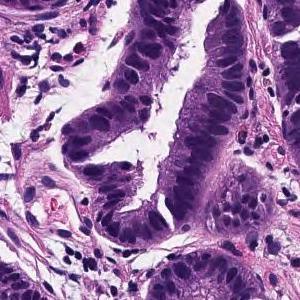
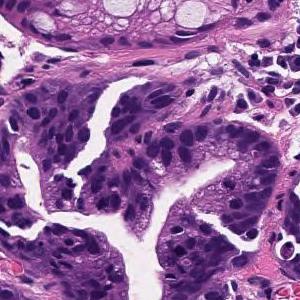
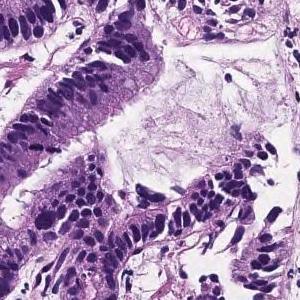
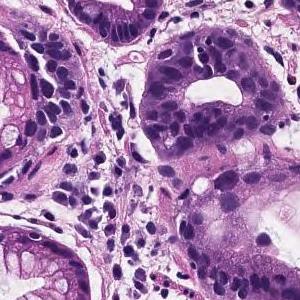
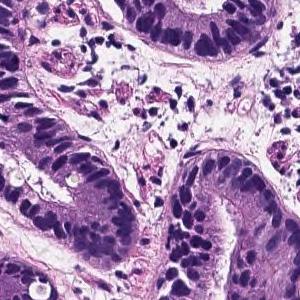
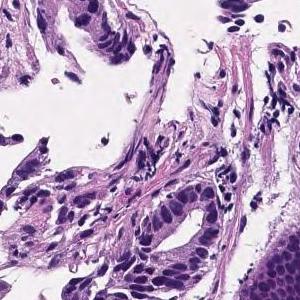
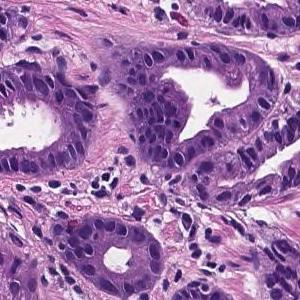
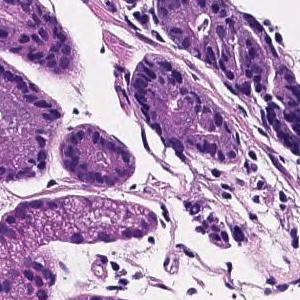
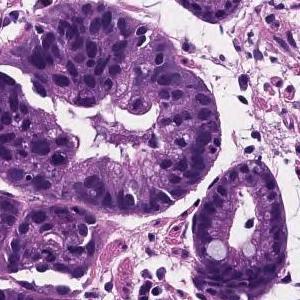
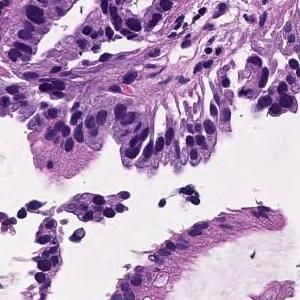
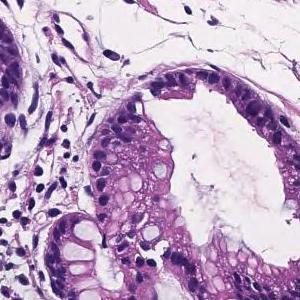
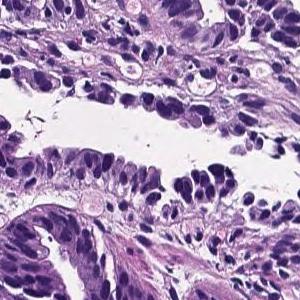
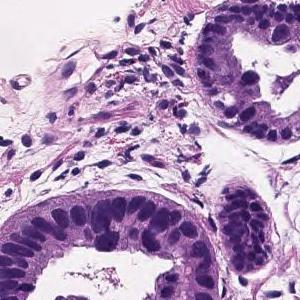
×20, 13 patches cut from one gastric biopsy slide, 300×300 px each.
Diagnostic report for the slide these tiles come from. The findings and the diagnosis refer to the entire slide; these tiles show only part of it, possibly with non-tumor tissue, and may not show every feature named.
Tumor cells are large, highly columnar, large club-shaped nuclei, and are associated with chromatin aggregation. Papillary adenocarcinoma.
